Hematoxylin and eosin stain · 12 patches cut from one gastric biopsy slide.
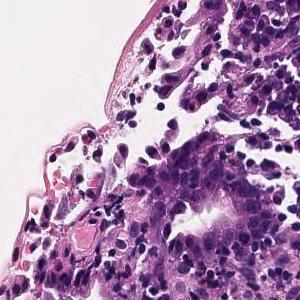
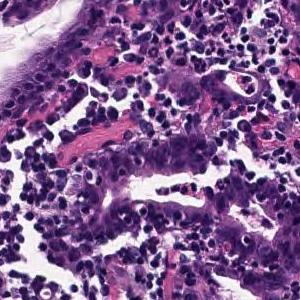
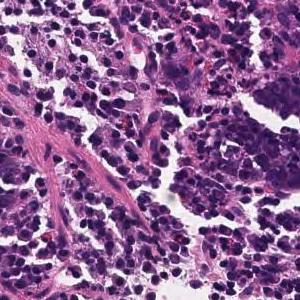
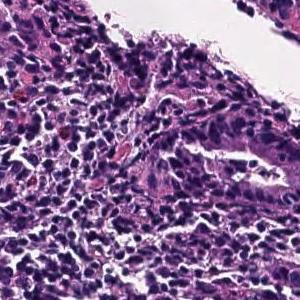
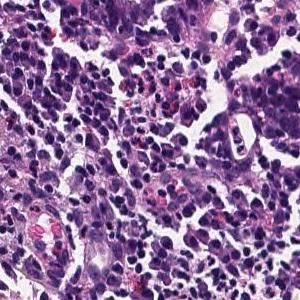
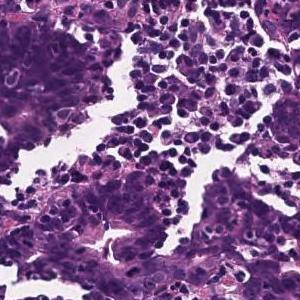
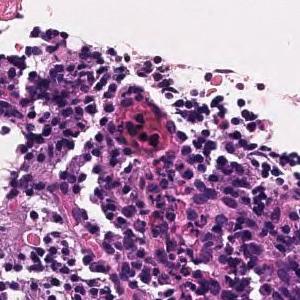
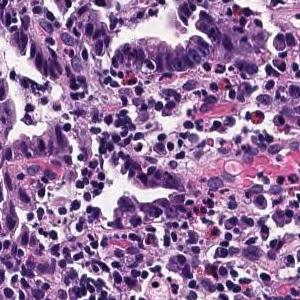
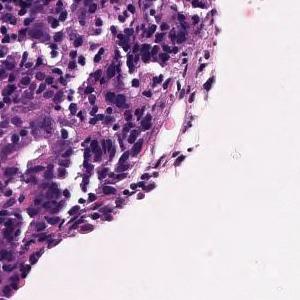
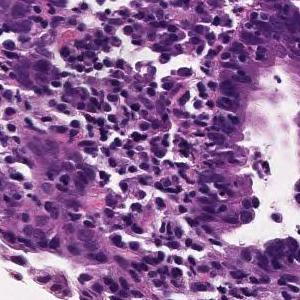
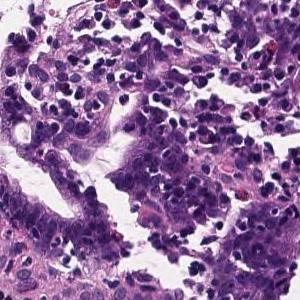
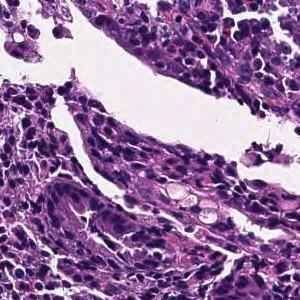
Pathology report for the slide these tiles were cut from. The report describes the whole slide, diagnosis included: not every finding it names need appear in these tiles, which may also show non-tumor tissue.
Tumor tissue consisting of medium-sized, cord-like or irregular glandular infiltration is observed in the superficial epithelium. Poorly differentiated adenocarcinoma, non-solid type or moderately differentiated tubular adenocarcinoma
Tumor subtype: moderately to poorly differentiated adenocarcinoma.
The term "non-solid type" comes from the Japanese Classification of Gastric Carcinoma.
